14 tiles cut from one stomach biopsy slide · H&E · 20× magnification.
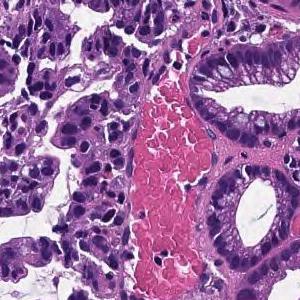
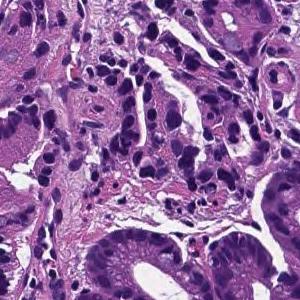
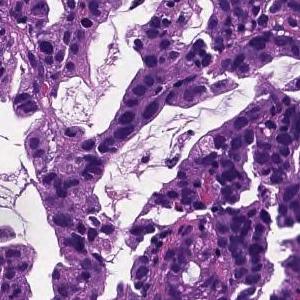
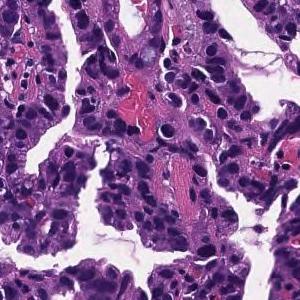
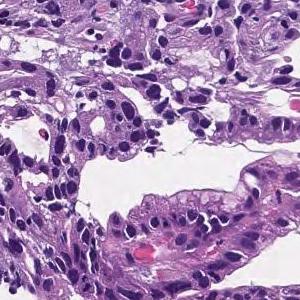
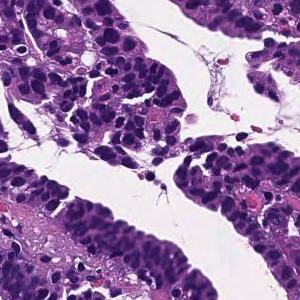
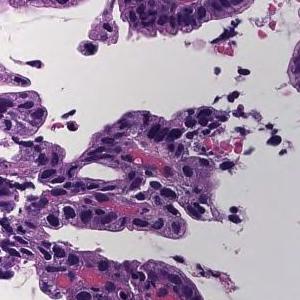
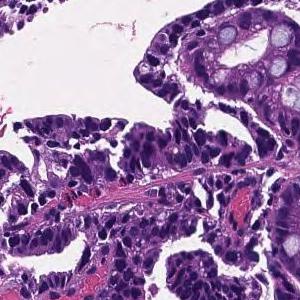
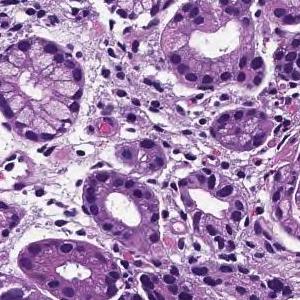
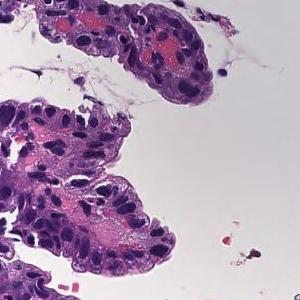
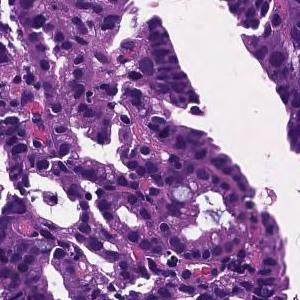
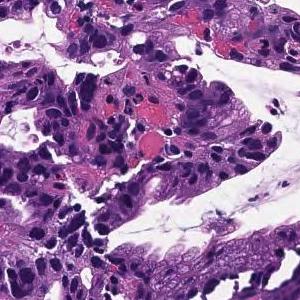
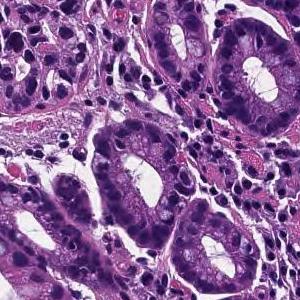
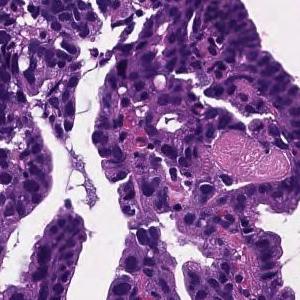
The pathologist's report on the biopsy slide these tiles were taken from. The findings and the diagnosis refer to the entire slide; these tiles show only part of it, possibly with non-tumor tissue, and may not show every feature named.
Tumor cells are large, highly columnar, large club-shaped nuclei, and are associated with chromatin aggregation. Papillary adenocarcinoma.
